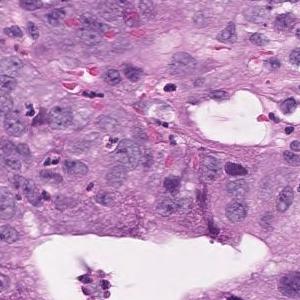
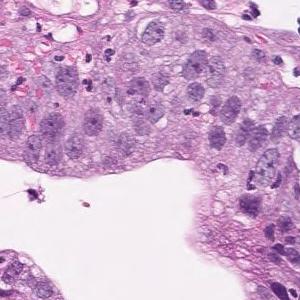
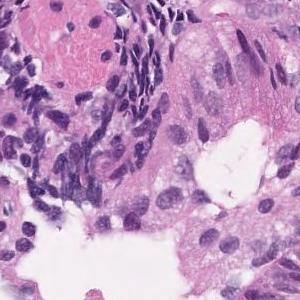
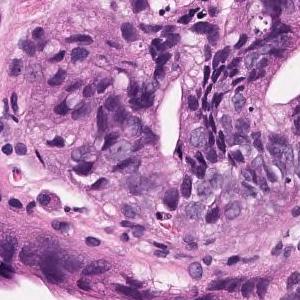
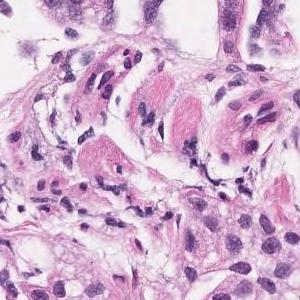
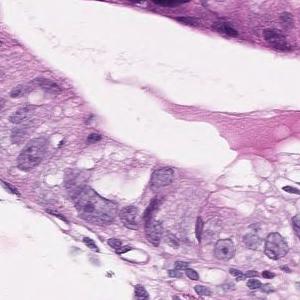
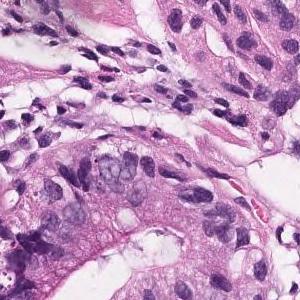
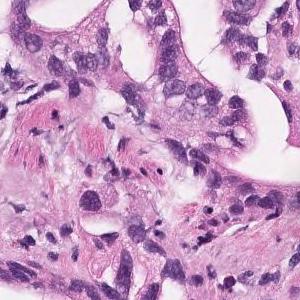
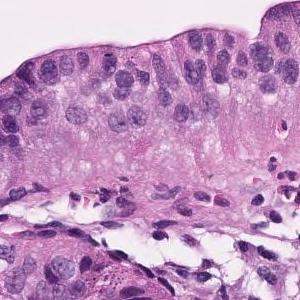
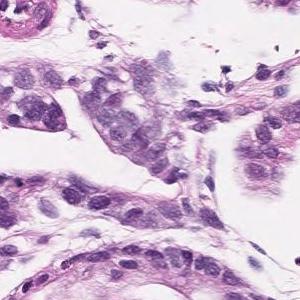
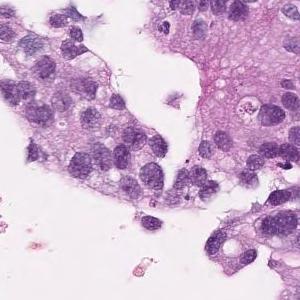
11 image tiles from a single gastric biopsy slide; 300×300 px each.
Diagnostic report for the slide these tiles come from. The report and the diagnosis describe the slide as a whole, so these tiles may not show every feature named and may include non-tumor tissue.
On the superficial epithelium, tumor tissue consisting of medium to small irregular tubules partially fused and proliferated is observed. Well differentiated tubular adenocarcinoma
